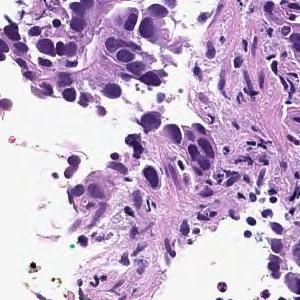
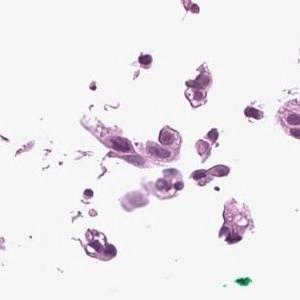
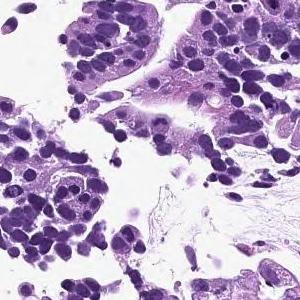
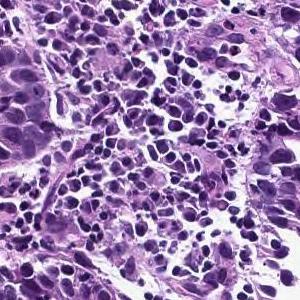
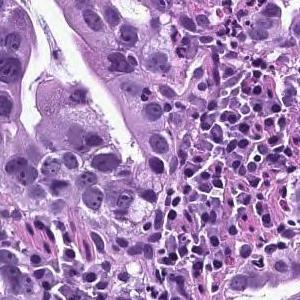
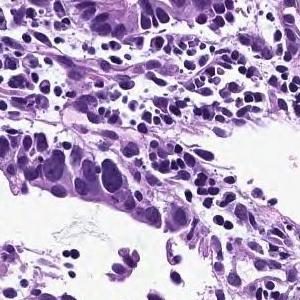
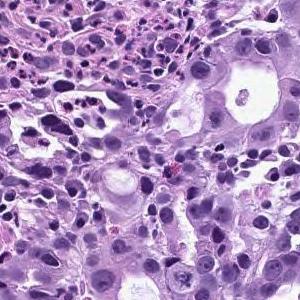
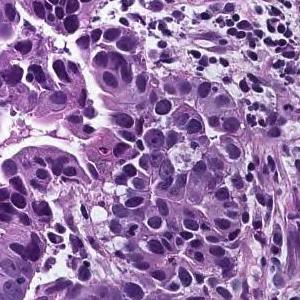
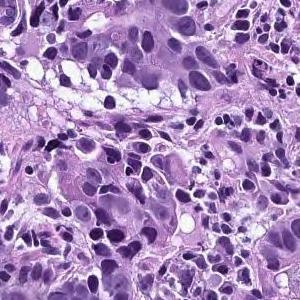
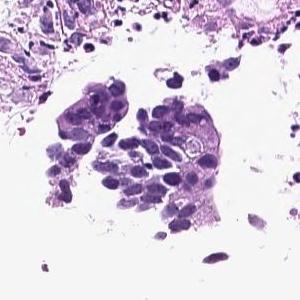
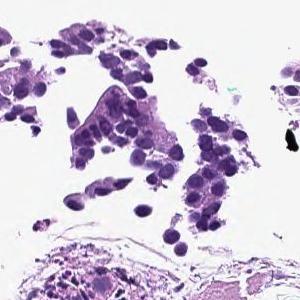
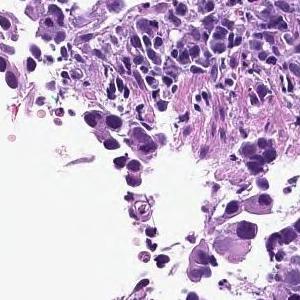
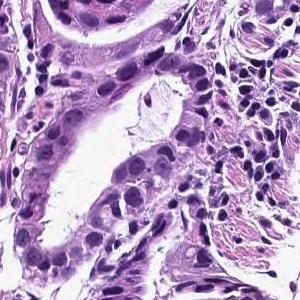
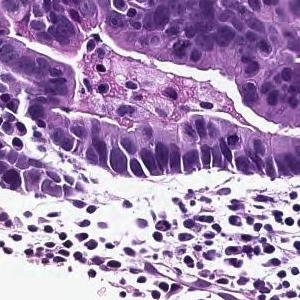
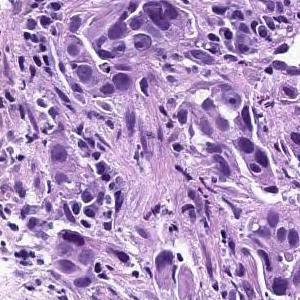
15 patches cut from one gastric biopsy slide, ×20, H&E.
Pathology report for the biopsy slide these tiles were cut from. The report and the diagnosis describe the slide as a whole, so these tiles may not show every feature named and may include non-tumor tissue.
In the superficial epithelium, tumor tissue that invades by forming medium-sized to small, irregular ducts is observed. moderately differentiated tubular adenocarcinoma.
